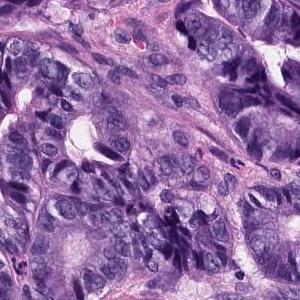
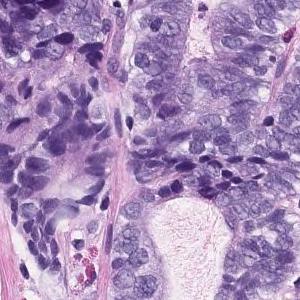
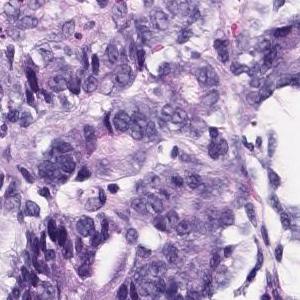
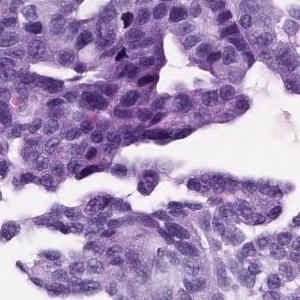
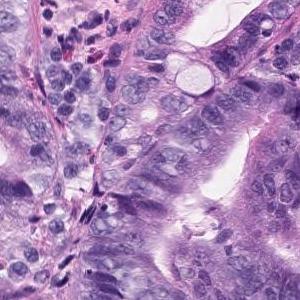
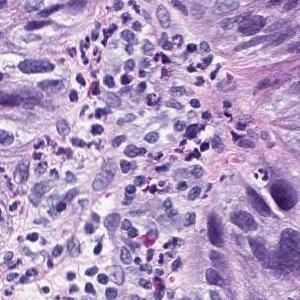
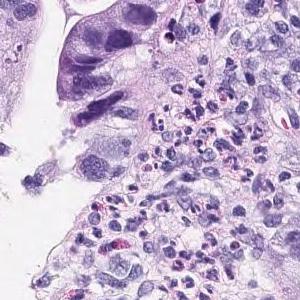
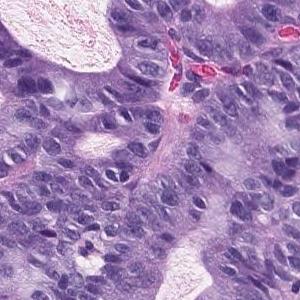
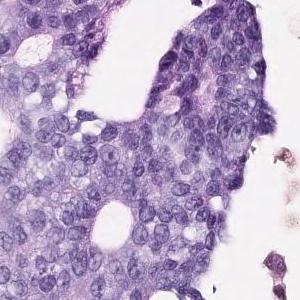
9 tiles cut from one stomach biopsy slide, 300×300 px each, hematoxylin and eosin stain, 20× magnification.
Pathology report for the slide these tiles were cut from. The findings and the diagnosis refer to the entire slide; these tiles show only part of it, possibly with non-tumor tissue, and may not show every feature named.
In the superficial epithelium, tumor tissue that invades by forming medium-sized to small, irregular ducts is observed. Well to moderately differentiated tubular adenocarcinoma.
